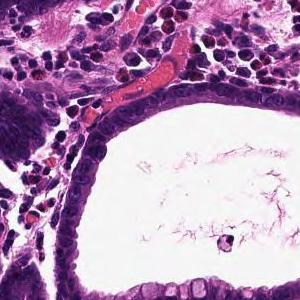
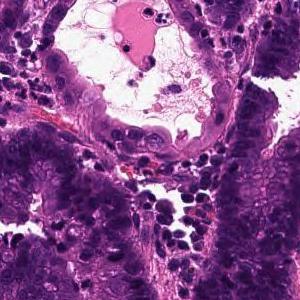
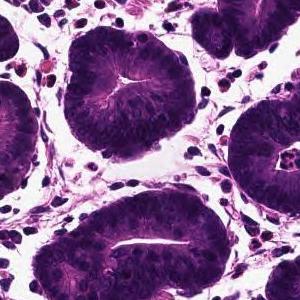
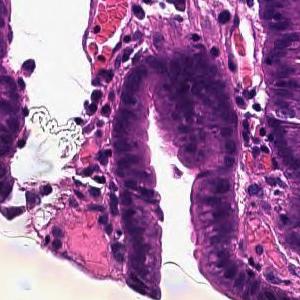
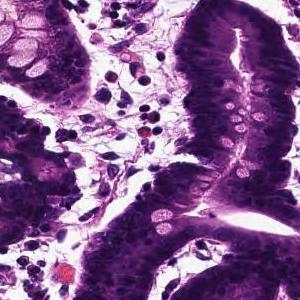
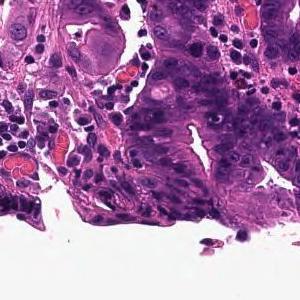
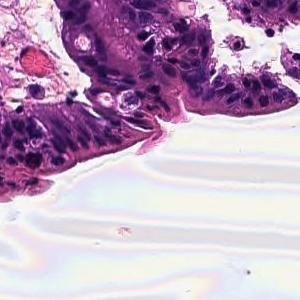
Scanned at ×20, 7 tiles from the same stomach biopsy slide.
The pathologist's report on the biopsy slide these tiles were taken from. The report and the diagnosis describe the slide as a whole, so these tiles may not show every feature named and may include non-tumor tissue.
Tumor tissue that infiltrates by forming large papillary or large irregular glandular ducts is observed confined to the mucosa. Papillary adenocarcinoma
